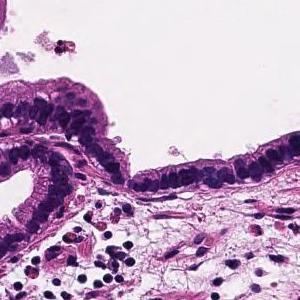
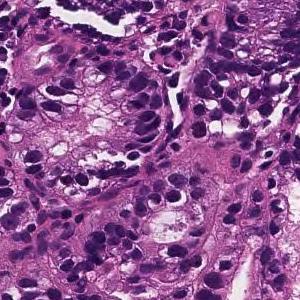
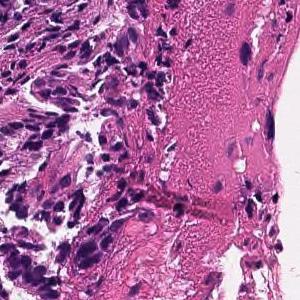
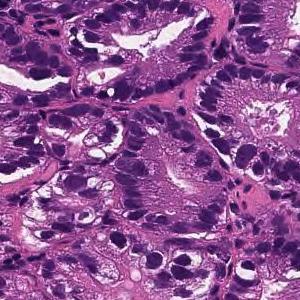
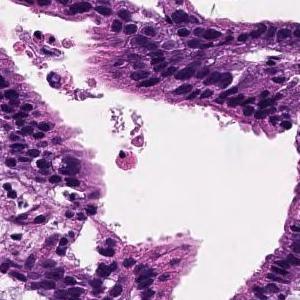
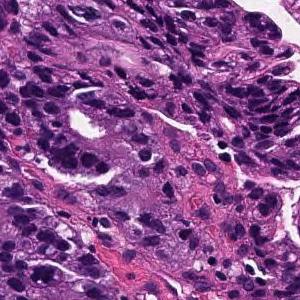
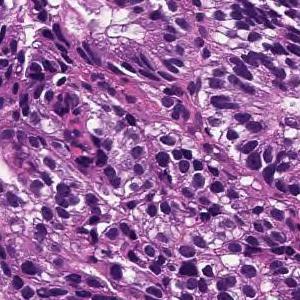
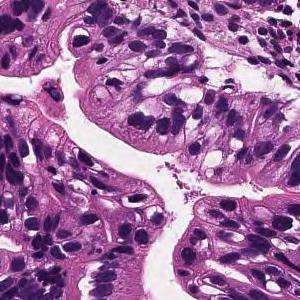
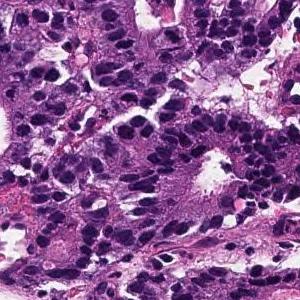
9 patches cut from one gastric biopsy slide · 300×300 px each.
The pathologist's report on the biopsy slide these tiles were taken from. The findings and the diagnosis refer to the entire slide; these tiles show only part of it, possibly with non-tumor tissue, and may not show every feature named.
From the superficial epithelium to the muscularis mucosae, tumor tissue consisting of medium-sized and irregular glandular ducts infiltrating is observed. Well differentiated tubular adenocarcinoma
